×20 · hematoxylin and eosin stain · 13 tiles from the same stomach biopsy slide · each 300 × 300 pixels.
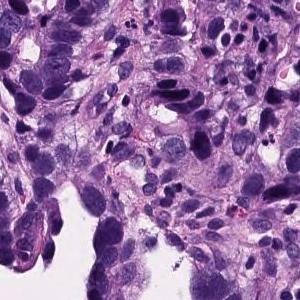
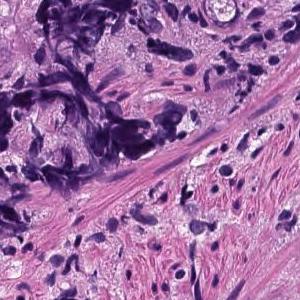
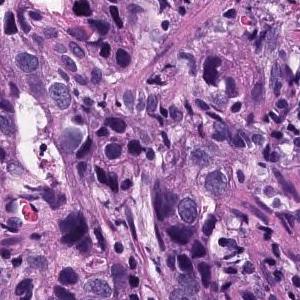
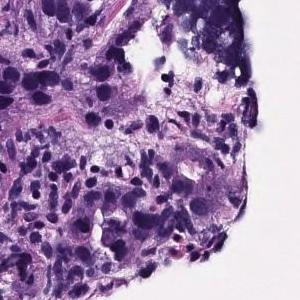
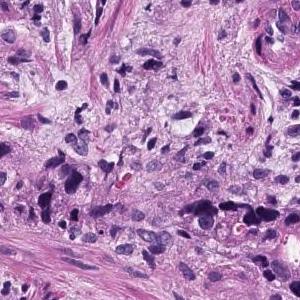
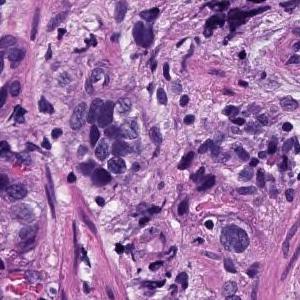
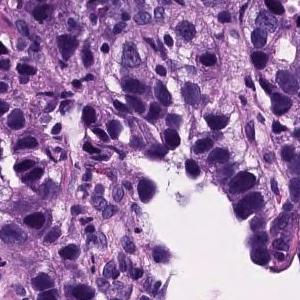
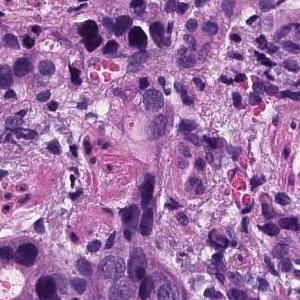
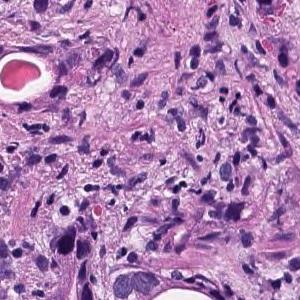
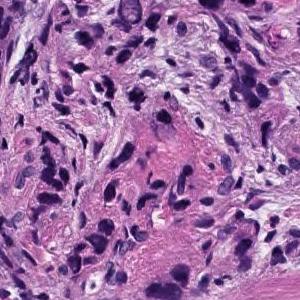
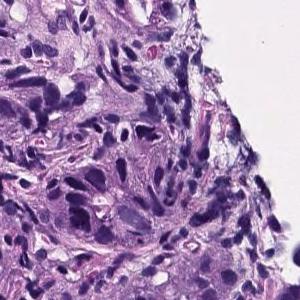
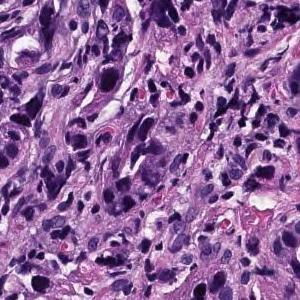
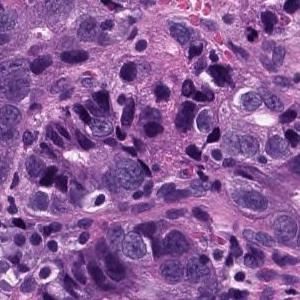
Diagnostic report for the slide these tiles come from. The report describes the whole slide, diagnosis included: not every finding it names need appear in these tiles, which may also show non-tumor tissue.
In the epithelium, tumor tissue in which medium to small irregular gland ducts fuse with each other and infiltrate the submucosa. moderately differentiated tubular adenocarcinoma
